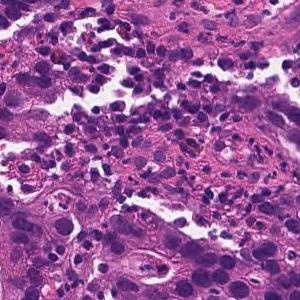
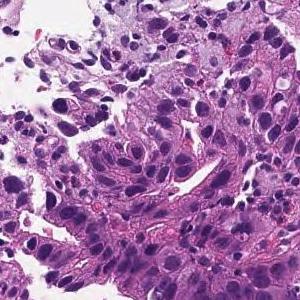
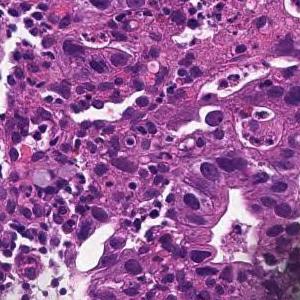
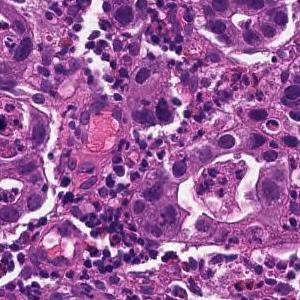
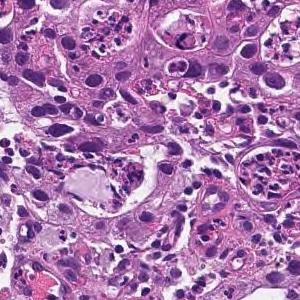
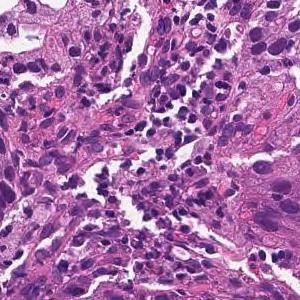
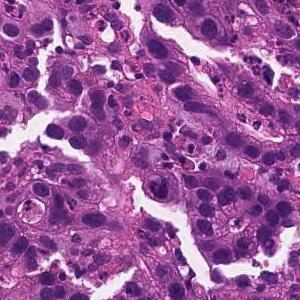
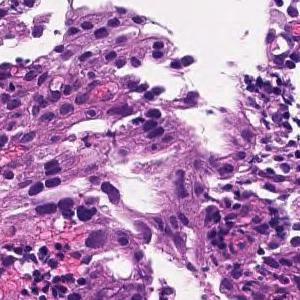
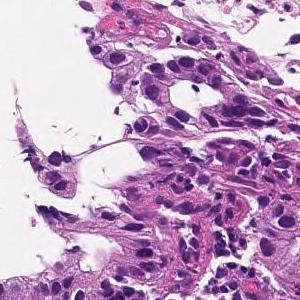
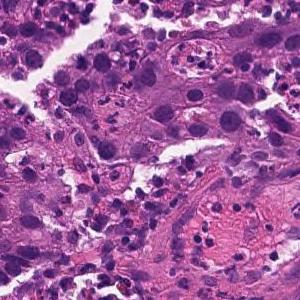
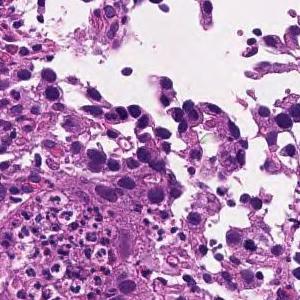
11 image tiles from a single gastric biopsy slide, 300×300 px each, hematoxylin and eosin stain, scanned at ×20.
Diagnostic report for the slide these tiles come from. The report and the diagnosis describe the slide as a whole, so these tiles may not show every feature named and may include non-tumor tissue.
Medium to small, irregular glandular ducts are formed in the superficial epithelium, and in some cases, the glandular ducts are fused to show solid alveolar lesions and infiltrating tumor tissue is observed. Moderately to poorly differentiated adenocarcinoma.
